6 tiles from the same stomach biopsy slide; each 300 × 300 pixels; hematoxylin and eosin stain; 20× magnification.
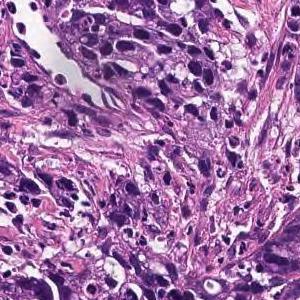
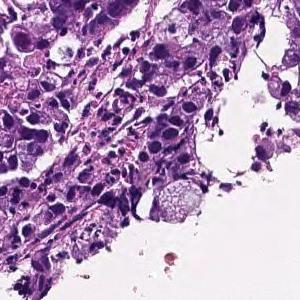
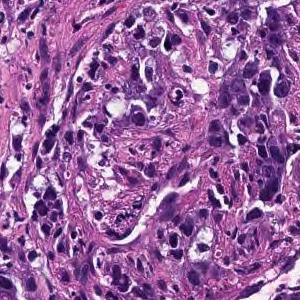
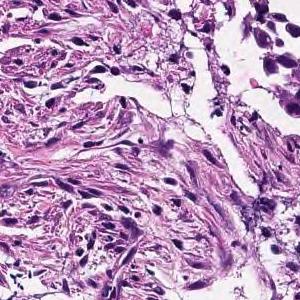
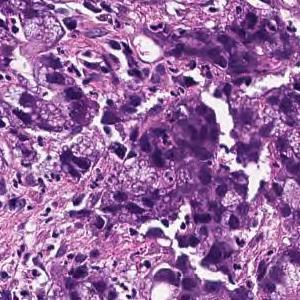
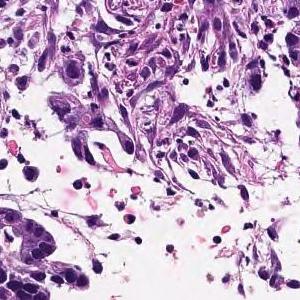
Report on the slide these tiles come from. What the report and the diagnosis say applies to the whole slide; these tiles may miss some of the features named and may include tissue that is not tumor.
Medium to small, irregular glandular ducts are formed in the superficial epithelium, and in some cases, the glandular ducts are fused to show solid alveolar lesions and infiltrating tumor tissue is observed. Moderately to poorly differentiated adenocarcinoma.
